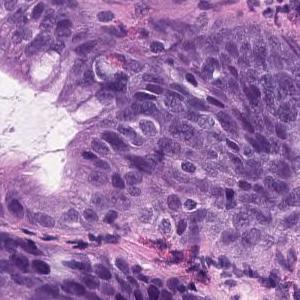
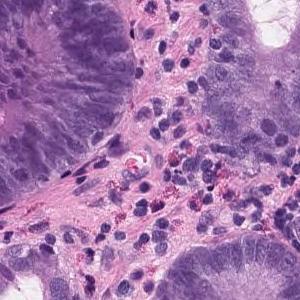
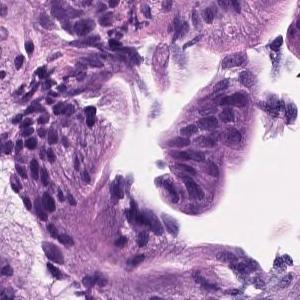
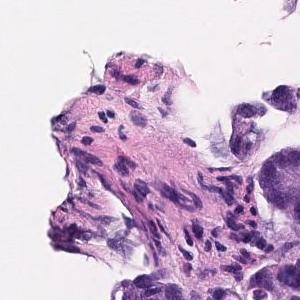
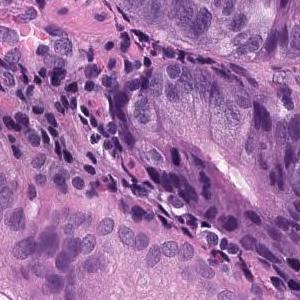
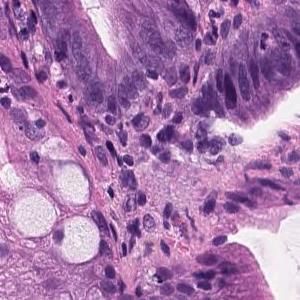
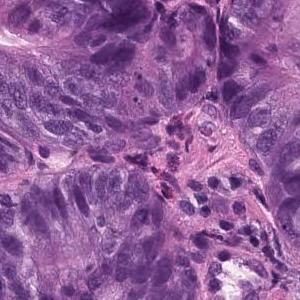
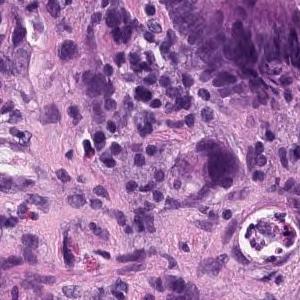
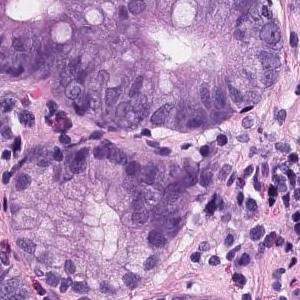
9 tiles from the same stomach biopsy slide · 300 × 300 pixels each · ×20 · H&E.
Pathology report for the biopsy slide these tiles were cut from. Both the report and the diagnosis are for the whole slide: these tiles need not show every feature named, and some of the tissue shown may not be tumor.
On the superficial epithelium, tumor tissue with densely growing medium to large, round tubules is observed. Tumor cells are highly columnar, with nuclei aligned basolaterally and polarized. Well differentiated tubular adenocarcinoma
